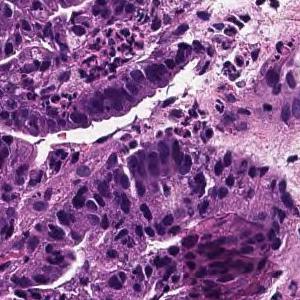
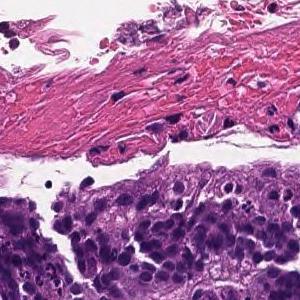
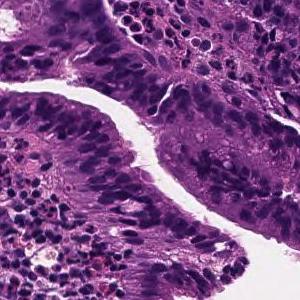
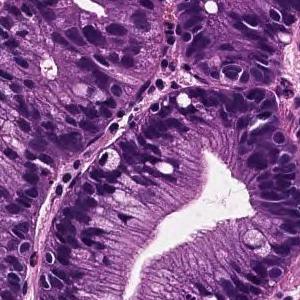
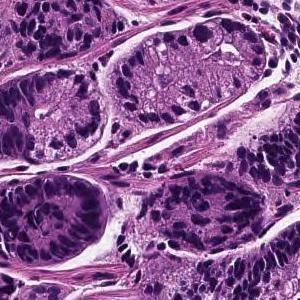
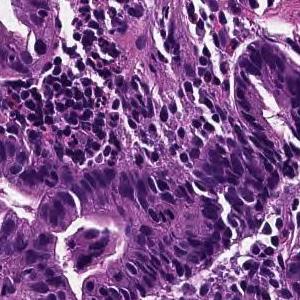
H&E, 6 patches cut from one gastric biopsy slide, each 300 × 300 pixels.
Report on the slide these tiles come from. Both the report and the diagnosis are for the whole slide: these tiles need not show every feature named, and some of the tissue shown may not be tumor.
From the superficial epithelium to the muscularis mucosae, tumor tissue consisting of medium-sized and irregular glandular ducts infiltrating is observed. Well differentiated tubular adenocarcinoma
